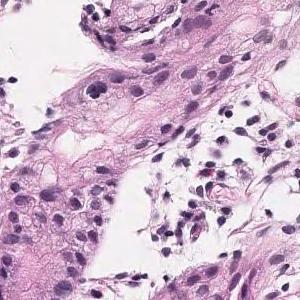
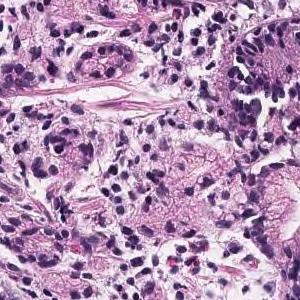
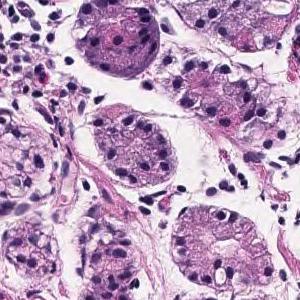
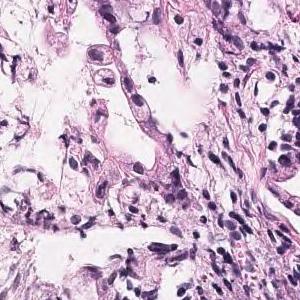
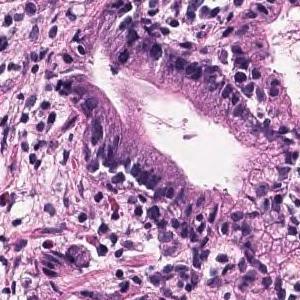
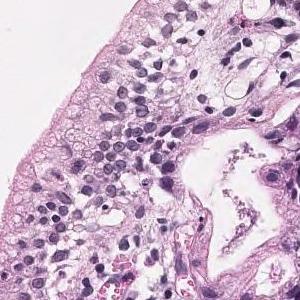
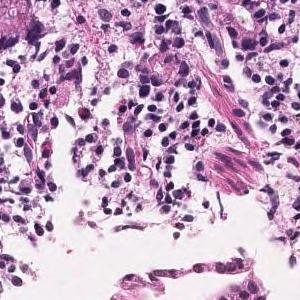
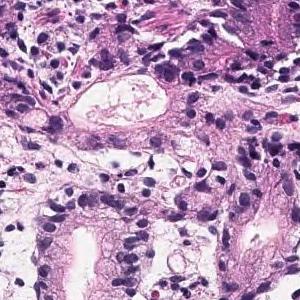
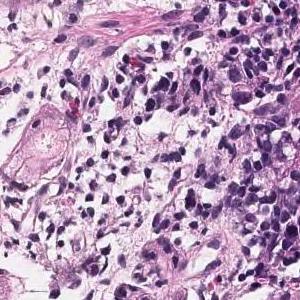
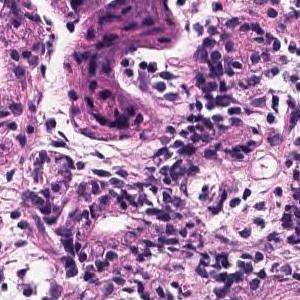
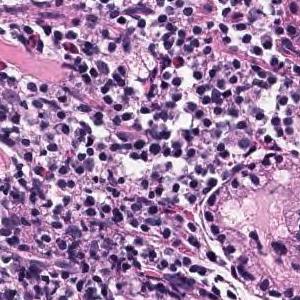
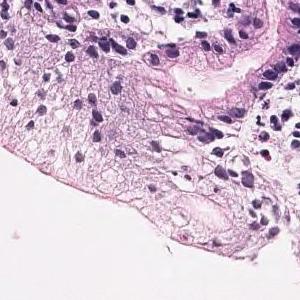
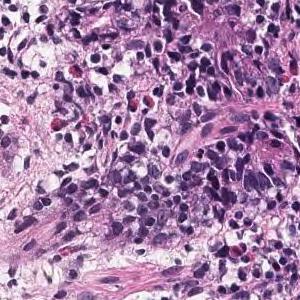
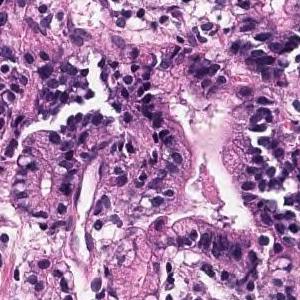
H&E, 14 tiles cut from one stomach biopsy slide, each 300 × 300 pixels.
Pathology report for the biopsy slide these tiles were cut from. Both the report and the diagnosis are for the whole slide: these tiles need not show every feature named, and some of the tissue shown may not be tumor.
Tumor tissue that grows and grows is observed, showing a medium-sized round or irregular duct. moderately differentiated tubular adenocarcinoma
